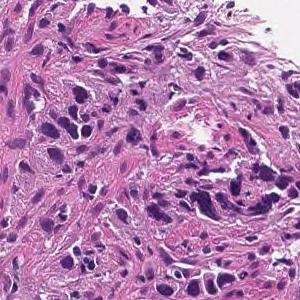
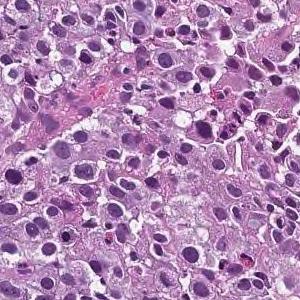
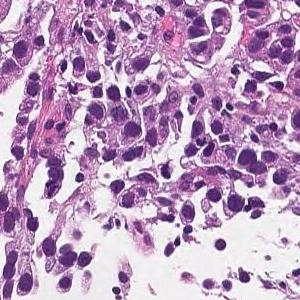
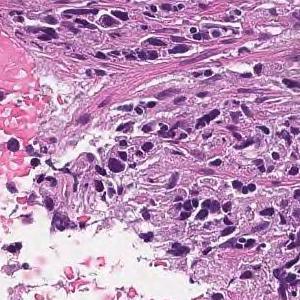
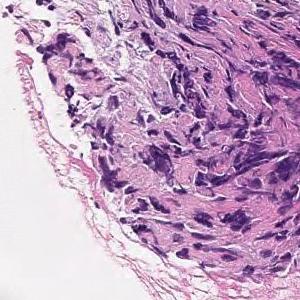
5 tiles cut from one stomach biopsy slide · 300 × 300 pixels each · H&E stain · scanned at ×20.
Pathology report for the slide these tiles were cut from. The report and the diagnosis cover the entire slide, so not every feature they name need be visible here, and some tissue shown may not be tumor.
The superficial epithelium shows a large sheet-like shape, and some tumor tissue infiltrates with small irregular ducts. Poorly differentiated adenocarcinoma, solid-type
Tumor subtype: poorly differentiated adenocarcinoma, solid type (Japanese Classification of Gastric Carcinoma). The WHO 2019 equivalent is tubular adenocarcinoma, poorly differentiated.
